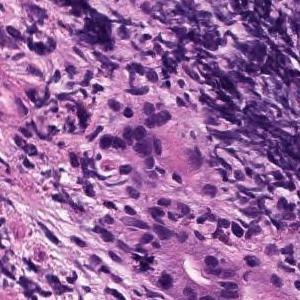
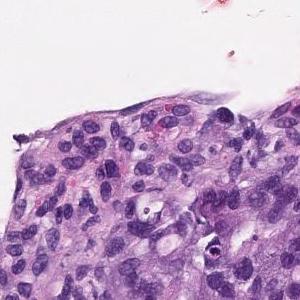
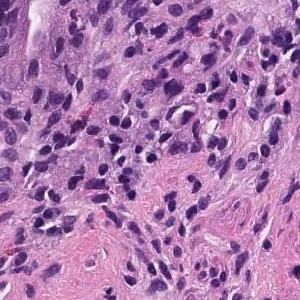
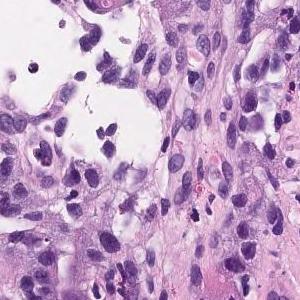
×20 · 4 patches cut from one gastric biopsy slide · 300×300 px each.
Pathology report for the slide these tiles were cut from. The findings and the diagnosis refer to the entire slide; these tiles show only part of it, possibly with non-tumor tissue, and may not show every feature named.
moderately differentiated tubular adenocarcinoma, Poorly differentiated adenocarcinoma
Dataset label: poorly differentiated adenocarcinoma, solid type, a category of the Japanese Classification of Gastric Carcinoma; in the WHO 2019 classification it is tubular adenocarcinoma, poorly differentiated.
